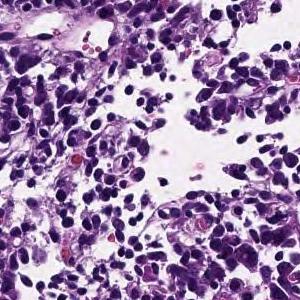
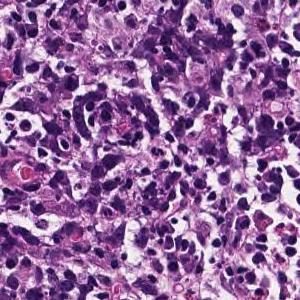
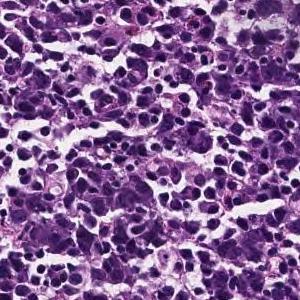
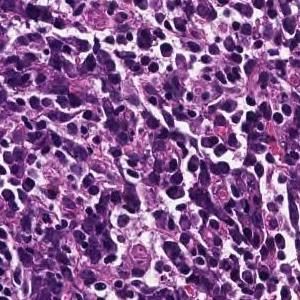
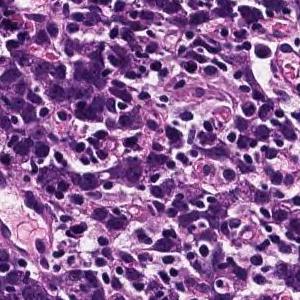
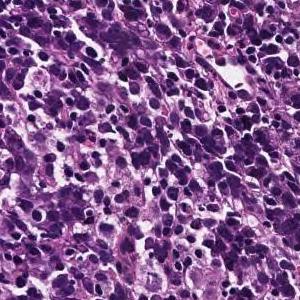
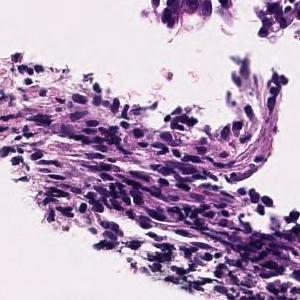
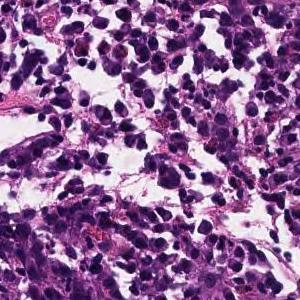
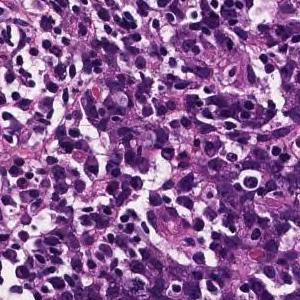
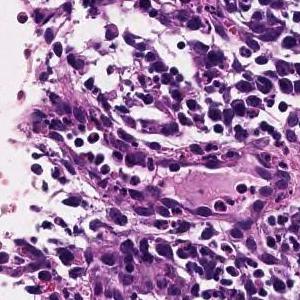
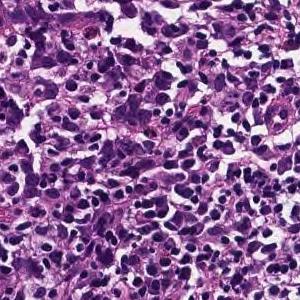
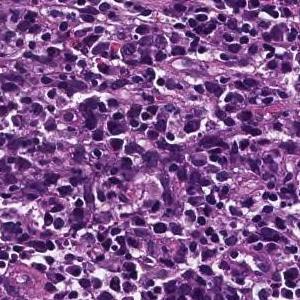
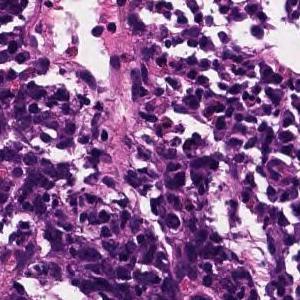
Scanned at ×20 · H&E stain · 13 patches cut from one gastric biopsy slide · each 300 × 300 pixels.
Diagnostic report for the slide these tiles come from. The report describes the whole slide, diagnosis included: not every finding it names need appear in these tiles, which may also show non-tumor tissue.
Tumor tissue consisting of cord-like or small, irregular glandular ducts fused and infiltrated is observed in the superficial epithelium. Poorly differentiated adenocarcinoma, non-solid type
The term "non-solid type" comes from the Japanese Classification of Gastric Carcinoma.
